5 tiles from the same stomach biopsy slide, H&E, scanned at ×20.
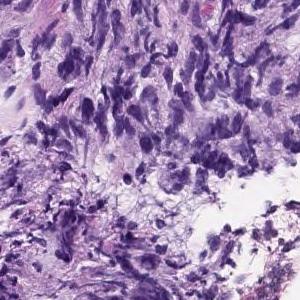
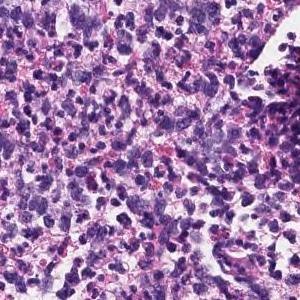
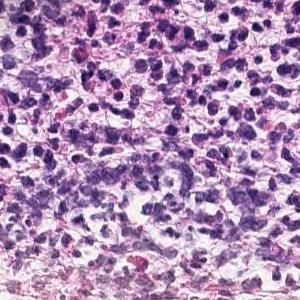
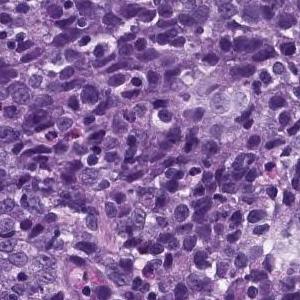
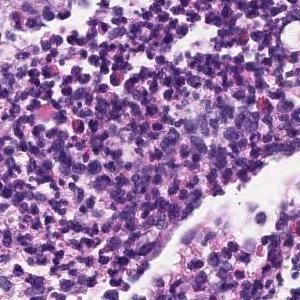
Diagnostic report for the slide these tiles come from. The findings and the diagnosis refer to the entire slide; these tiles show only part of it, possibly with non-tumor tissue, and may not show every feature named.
The superficial epithelium shows a large sheet-like shape, and some tumor tissue infiltrates with small irregular ducts. Poorly differentiated adenocarcinoma, solid-type
Tumor subtype: poorly differentiated adenocarcinoma, solid type. This name comes from the Japanese Classification of Gastric Carcinoma; the WHO 2019 classification calls it tubular adenocarcinoma, poorly differentiated.
